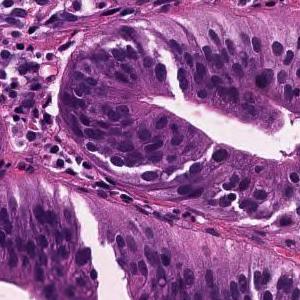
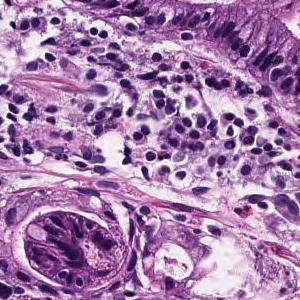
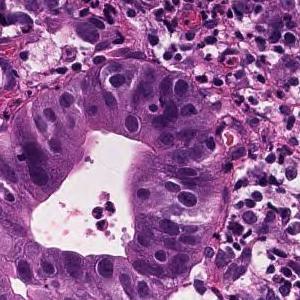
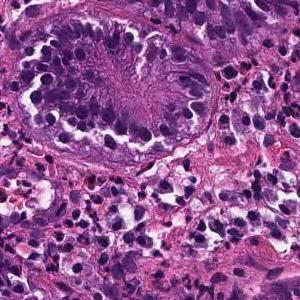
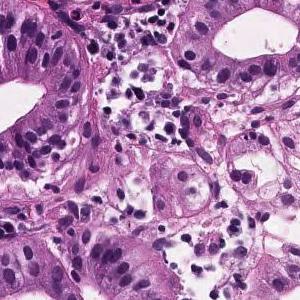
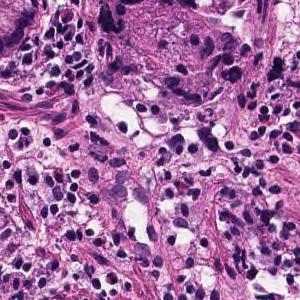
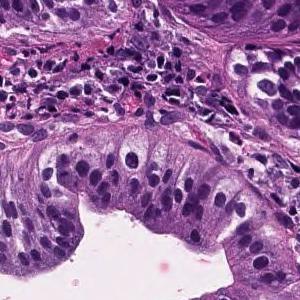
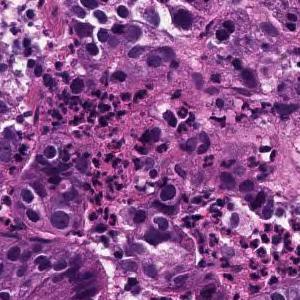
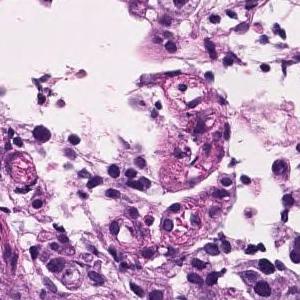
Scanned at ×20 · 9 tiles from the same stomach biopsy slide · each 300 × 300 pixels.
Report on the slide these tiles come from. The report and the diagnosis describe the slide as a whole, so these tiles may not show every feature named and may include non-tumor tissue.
In the superficial epithelium, tumor tissue that invades by forming medium-sized to small, irregular ducts is observed. moderately differentiated tubular adenocarcinoma.
